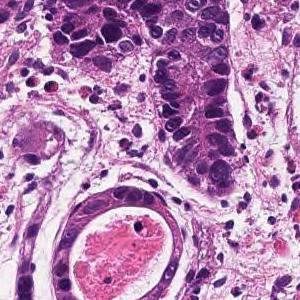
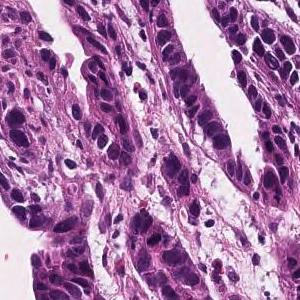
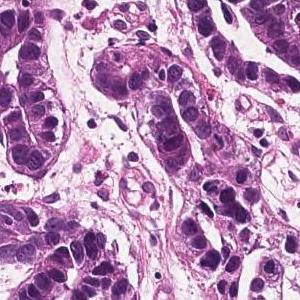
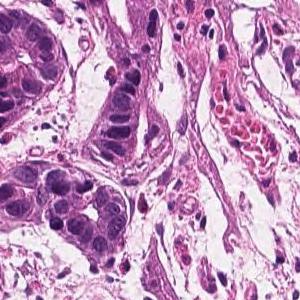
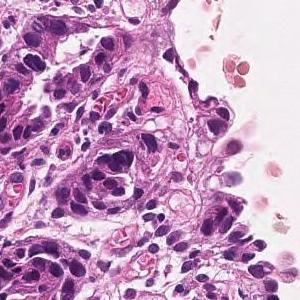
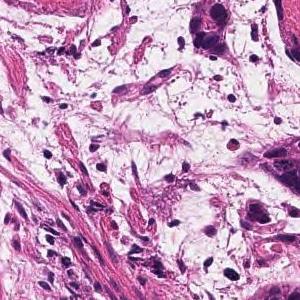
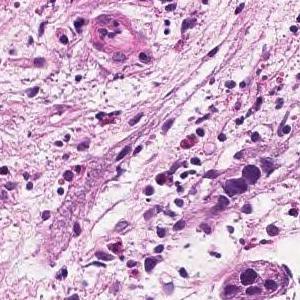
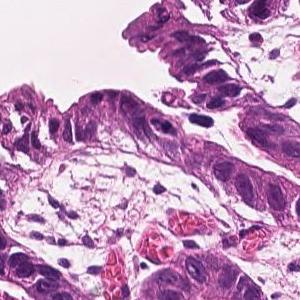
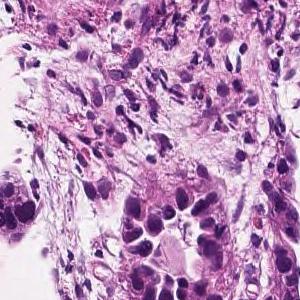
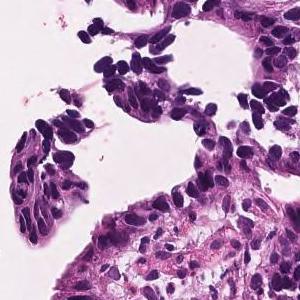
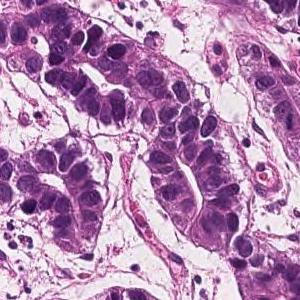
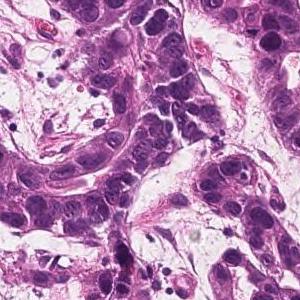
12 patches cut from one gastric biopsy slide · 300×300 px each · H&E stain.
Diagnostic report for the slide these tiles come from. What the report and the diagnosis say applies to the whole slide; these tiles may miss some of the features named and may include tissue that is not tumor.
In the superficial epithelium, tumor tissue that invades by forming medium-sized to small, irregular ducts is observed. Well differentiated tubular adenocarcinoma.
